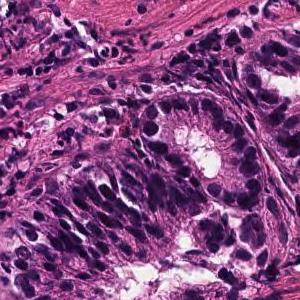
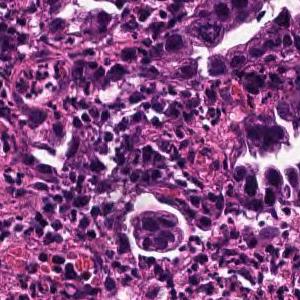
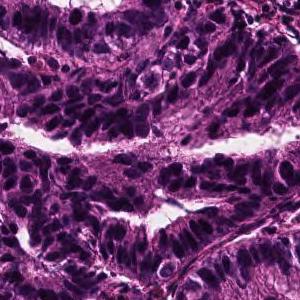
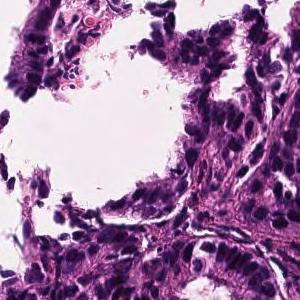
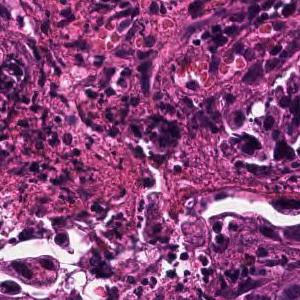
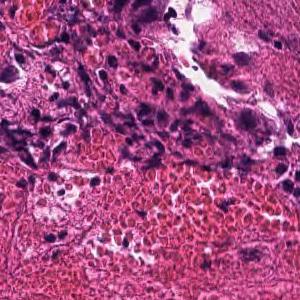
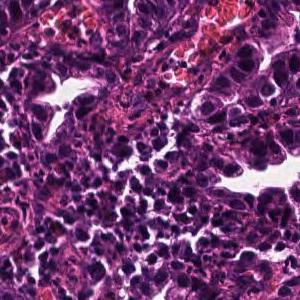
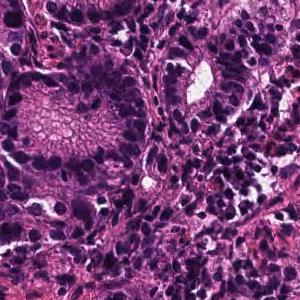
8 tiles cut from one stomach biopsy slide; 300×300 px each; ×20; hematoxylin and eosin stain.
Report on the slide these tiles come from. The report and the diagnosis describe the slide as a whole, so these tiles may not show every feature named and may include non-tumor tissue.
Tumor tissue consisting of large papillary structures is found in the superficial epithelium. Papillary adenocarcinoma.
